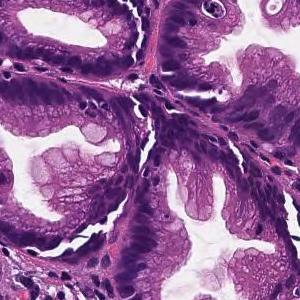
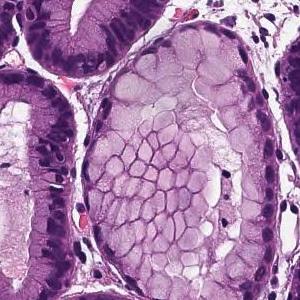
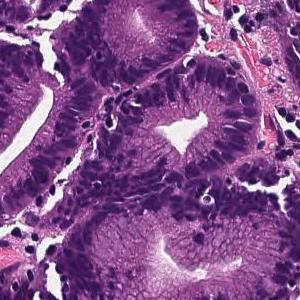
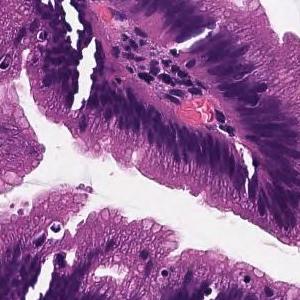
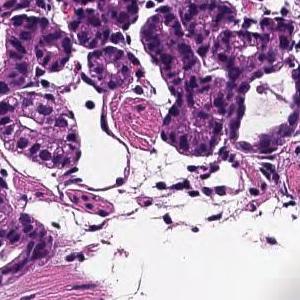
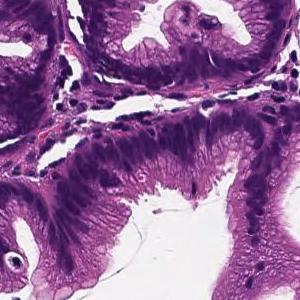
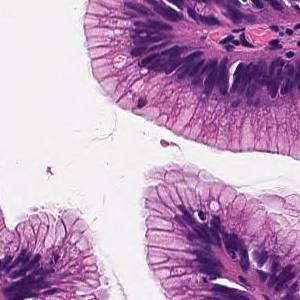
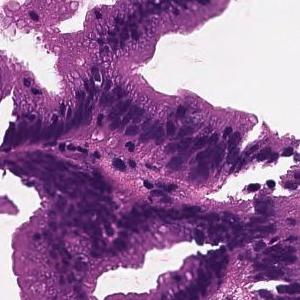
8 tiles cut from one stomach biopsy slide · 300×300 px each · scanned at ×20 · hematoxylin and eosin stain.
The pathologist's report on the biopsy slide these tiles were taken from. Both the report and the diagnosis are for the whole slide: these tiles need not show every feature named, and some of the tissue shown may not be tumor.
Cells with elliptical or atypical nuclei form dense ducts with relatively clear growth. Well differentiated tubular adenocarcinoma
